20× magnification; H&E; 6 tiles from the same stomach biopsy slide.
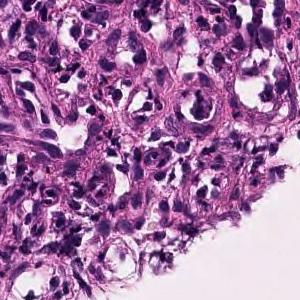
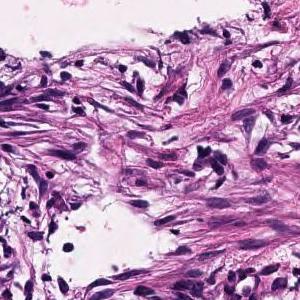
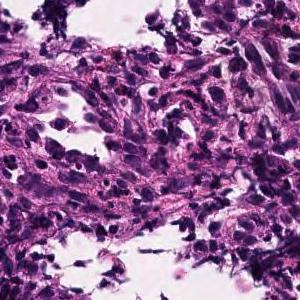
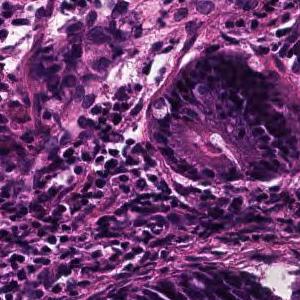
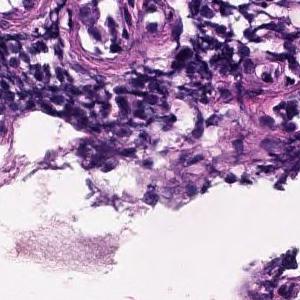
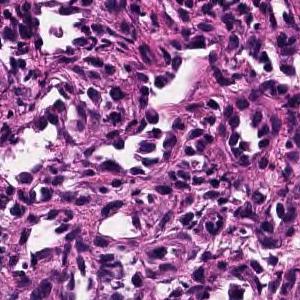
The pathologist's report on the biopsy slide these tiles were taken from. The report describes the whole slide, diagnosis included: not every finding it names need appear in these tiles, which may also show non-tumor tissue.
On the superficial epithelium, tumor tissue consisting of large, irregular glandular ducts partially fused and infiltrated is observed. Well to moderately differentiated tubular adenocarcinoma (well differentiated tubular adenocarcinoma, moderately differentiated tubular adenocarcinoma)
Histological subtype: Well to moderately differentiated tubular adenocarcinoma.
